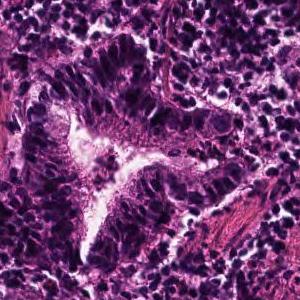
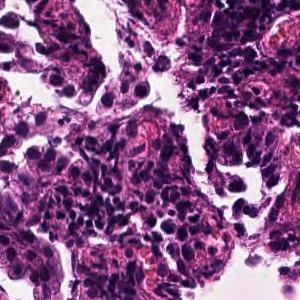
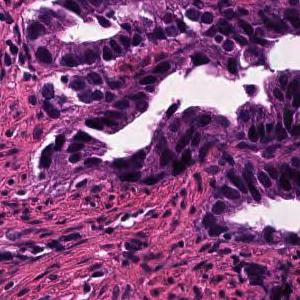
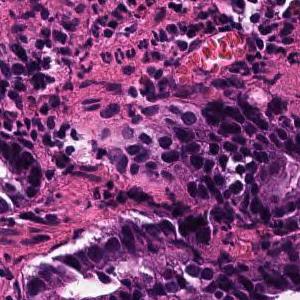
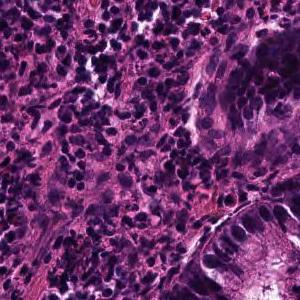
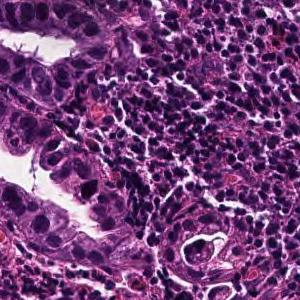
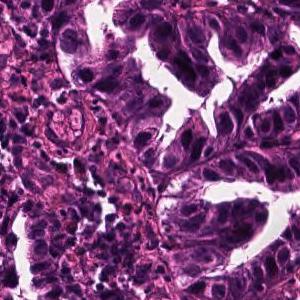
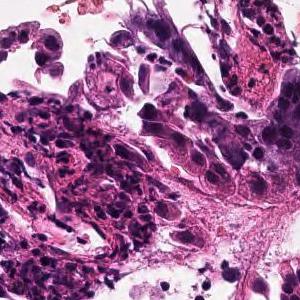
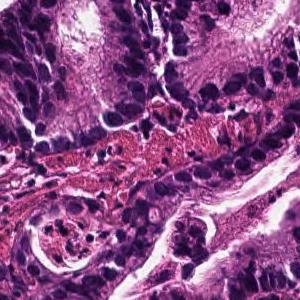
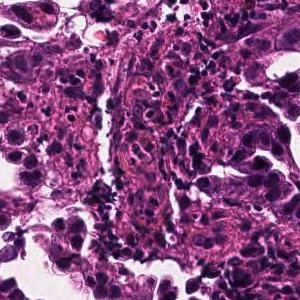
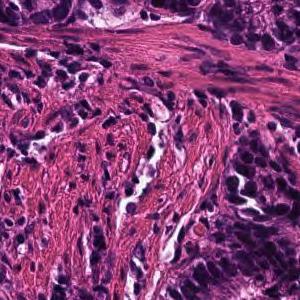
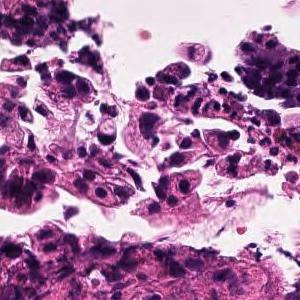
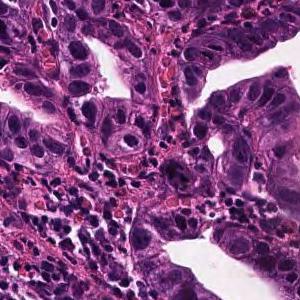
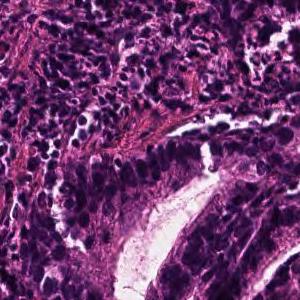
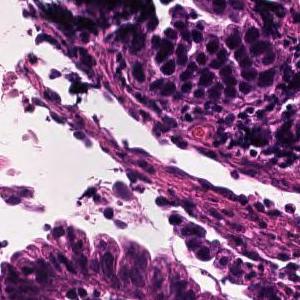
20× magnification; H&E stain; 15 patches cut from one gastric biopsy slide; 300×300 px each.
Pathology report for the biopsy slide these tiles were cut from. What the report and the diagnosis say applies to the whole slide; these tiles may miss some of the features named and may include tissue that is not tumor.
Tumor tissue consisting of large papillary structures is found in the superficial epithelium. Papillary adenocarcinoma.
